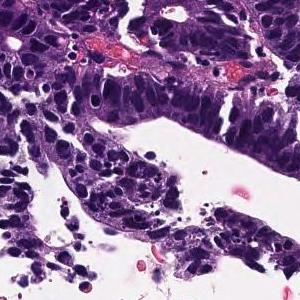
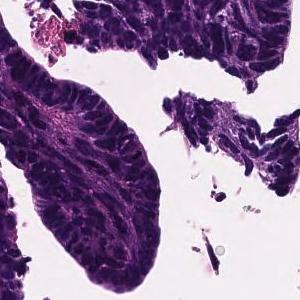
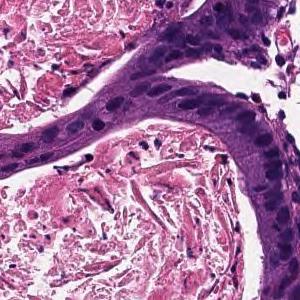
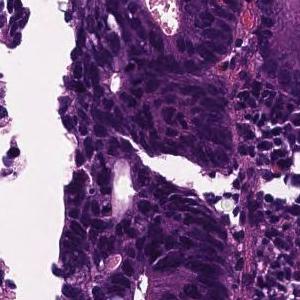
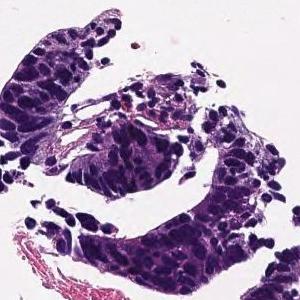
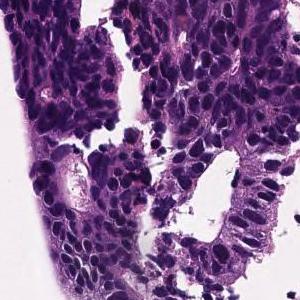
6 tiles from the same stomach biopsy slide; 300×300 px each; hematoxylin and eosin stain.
The pathologist's report on the biopsy slide these tiles were taken from. Both the report and the diagnosis are for the whole slide: these tiles need not show every feature named, and some of the tissue shown may not be tumor.
In the superficial epithelium, tumor tissue that invades by forming medium-sized to small, irregular ducts is observed. moderately differentiated tubular adenocarcinoma.
